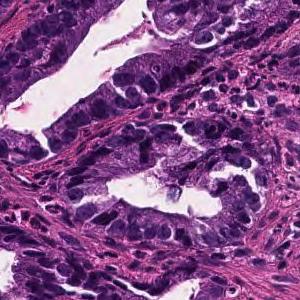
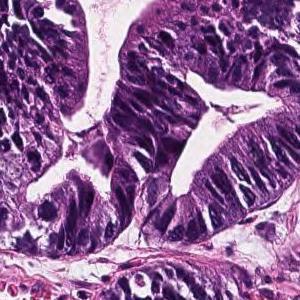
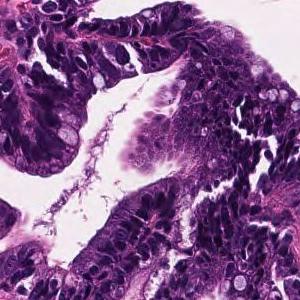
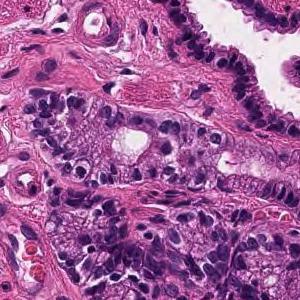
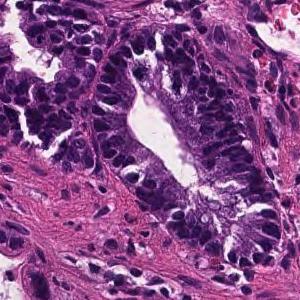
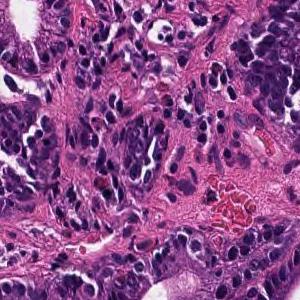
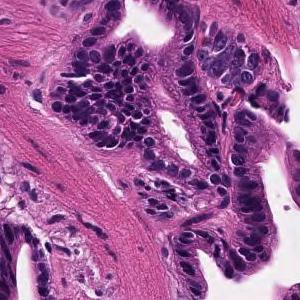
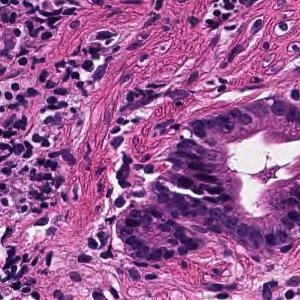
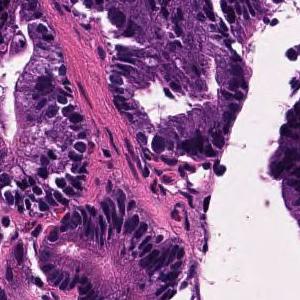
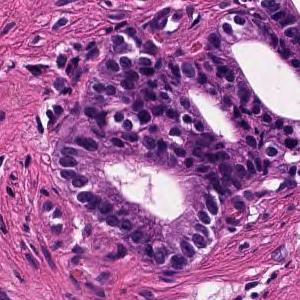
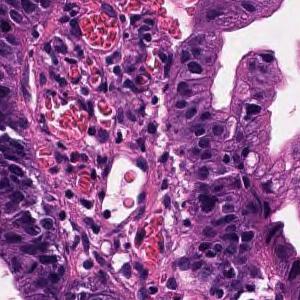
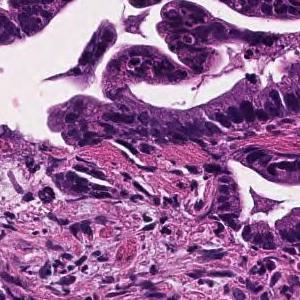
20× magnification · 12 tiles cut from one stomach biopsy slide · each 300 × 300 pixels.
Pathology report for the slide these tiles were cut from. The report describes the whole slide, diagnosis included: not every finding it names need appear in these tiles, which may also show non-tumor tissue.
Tumor cells are large, highly columnar, large club-shaped nuclei, and are associated with chromatin aggregation. Papillary adenocarcinoma.
